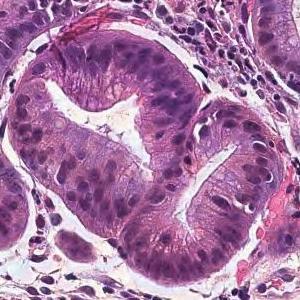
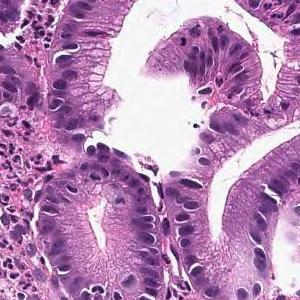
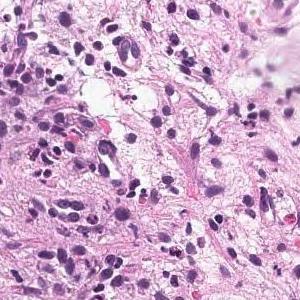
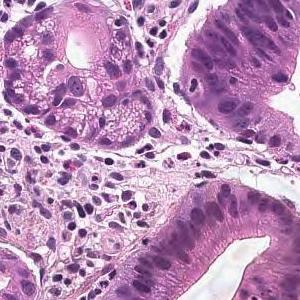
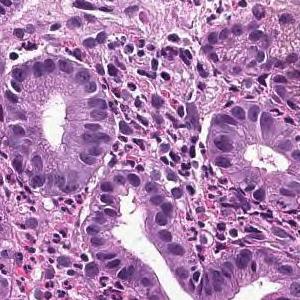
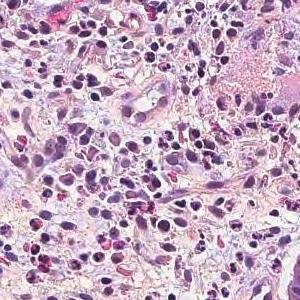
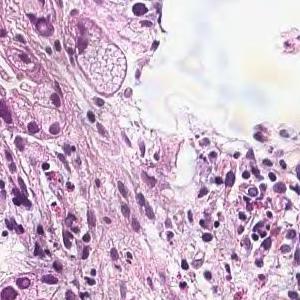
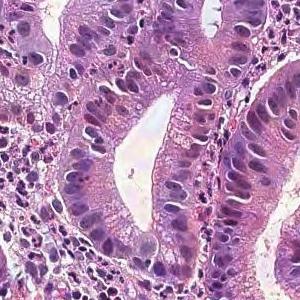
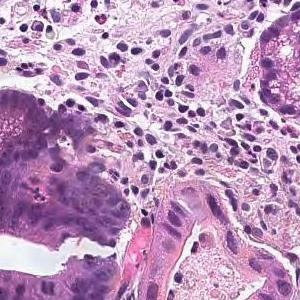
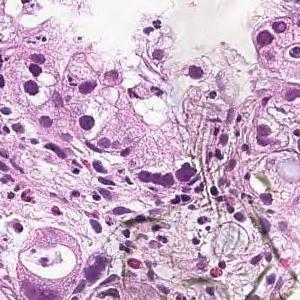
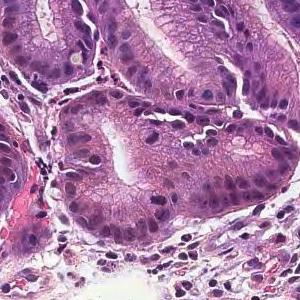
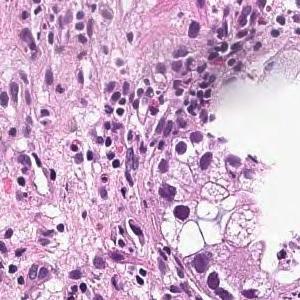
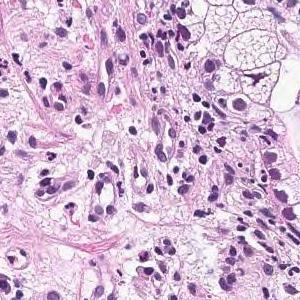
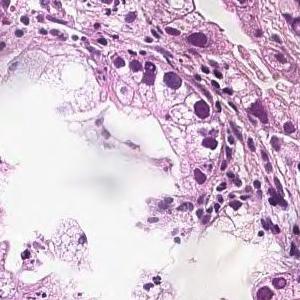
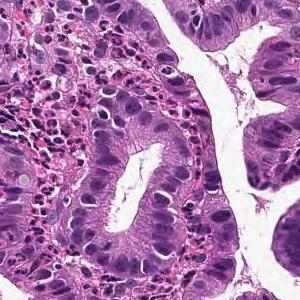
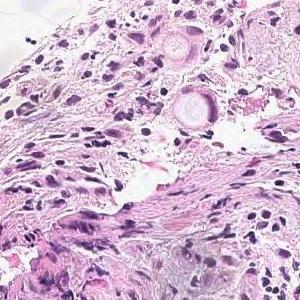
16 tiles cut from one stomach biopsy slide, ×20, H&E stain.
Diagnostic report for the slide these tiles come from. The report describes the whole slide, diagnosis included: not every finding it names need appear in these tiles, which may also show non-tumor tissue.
On the superficial epithelium, tumor tissue that infiltrates by forming medium-sized papillary or small irregular ducts is observed. Papillary adenocarcinoma
